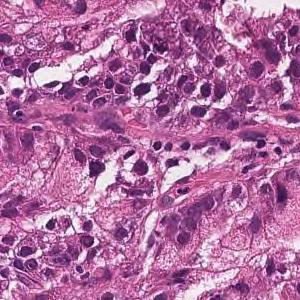
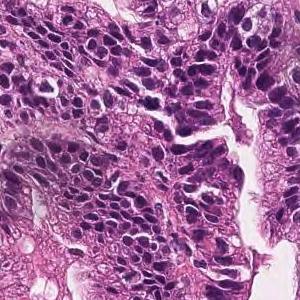
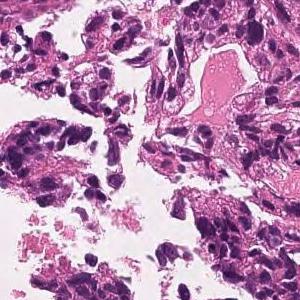
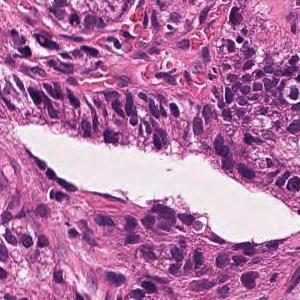
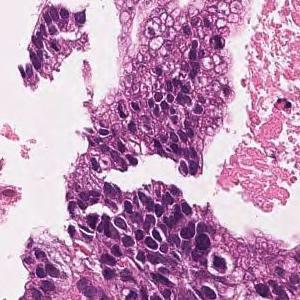
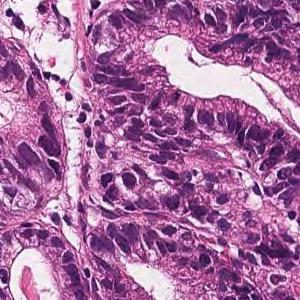
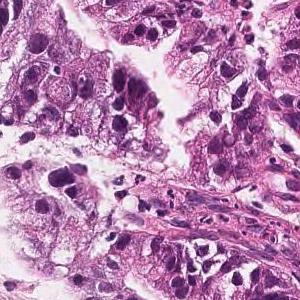
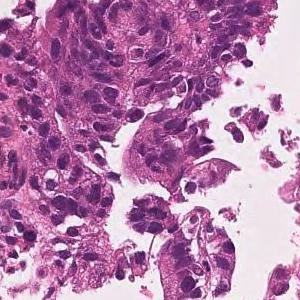
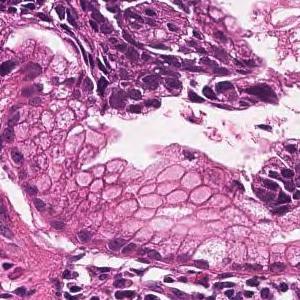
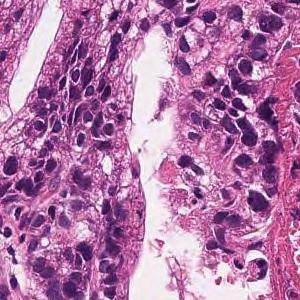
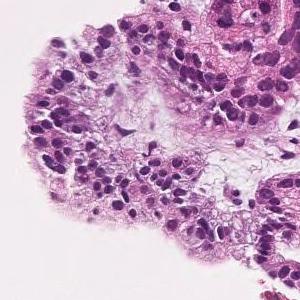
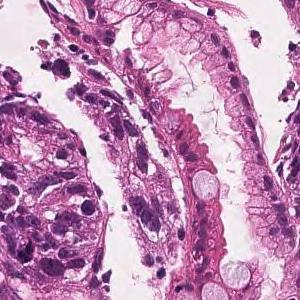
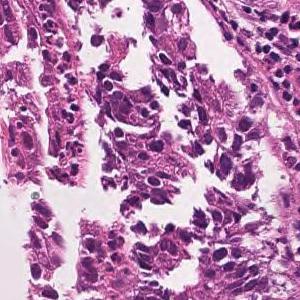
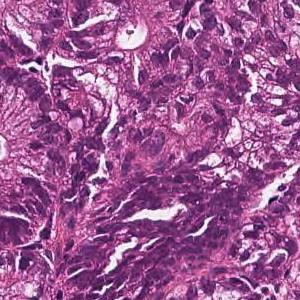
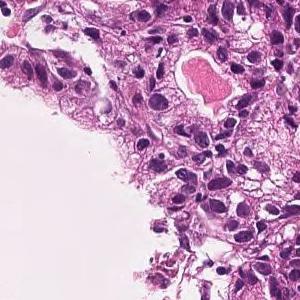
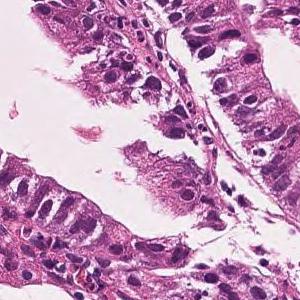
16 image tiles from a single gastric biopsy slide · 300 × 300 pixels each · 20× magnification · hematoxylin and eosin stain.
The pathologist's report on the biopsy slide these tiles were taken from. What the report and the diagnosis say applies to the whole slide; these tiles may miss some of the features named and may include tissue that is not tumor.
On the superficial epithelium, tumor tissue consisting of large, irregular glandular ducts partially fused and infiltrated is observed. Well to moderately differentiated tubular adenocarcinoma (well differentiated tubular adenocarcinoma, moderately differentiated tubular adenocarcinoma)
Classified as well to moderately differentiated tubular adenocarcinoma.
